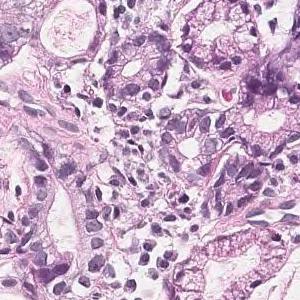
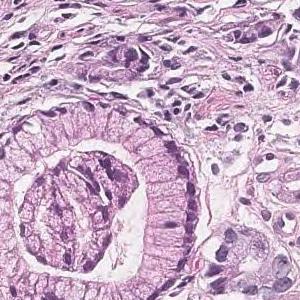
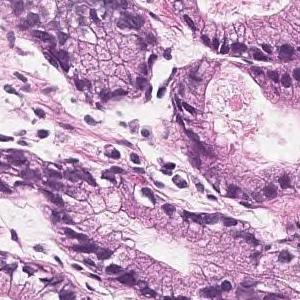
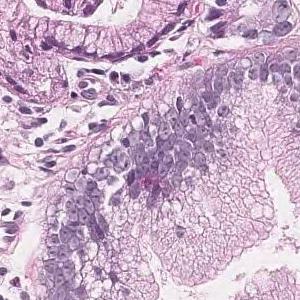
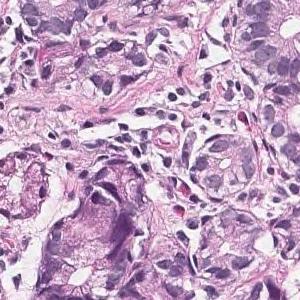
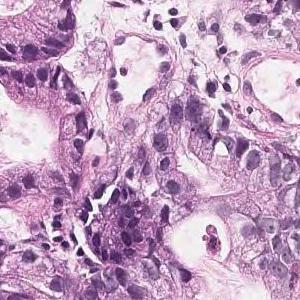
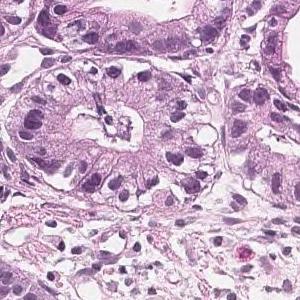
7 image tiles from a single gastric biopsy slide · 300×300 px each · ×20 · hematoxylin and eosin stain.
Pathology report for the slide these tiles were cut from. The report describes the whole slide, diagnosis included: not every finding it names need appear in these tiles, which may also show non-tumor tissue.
In the superficial epithelium, tumor tissue that invades by forming medium-sized to small, irregular ducts is observed. moderately differentiated tubular adenocarcinoma.
